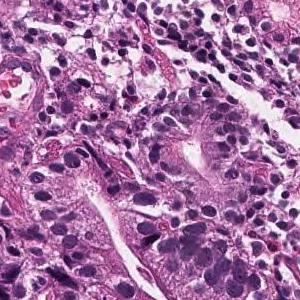
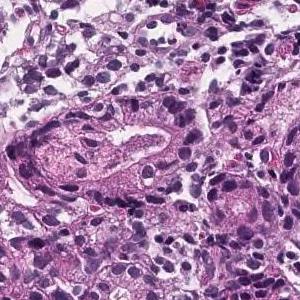
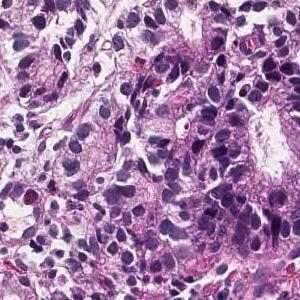
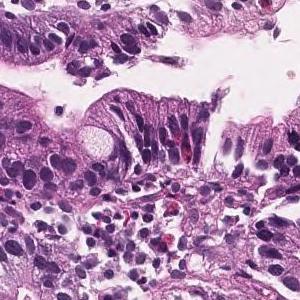
H&E; 4 tiles from the same stomach biopsy slide; 300 × 300 pixels each.
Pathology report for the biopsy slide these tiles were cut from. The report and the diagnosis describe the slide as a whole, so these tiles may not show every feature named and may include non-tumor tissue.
Tumor tissue that forms medium-sized, irregular glandular ducts and is papillary and proliferate is observed confined to the mucosal epithelium. moderately differentiated tubular adenocarcinoma.
